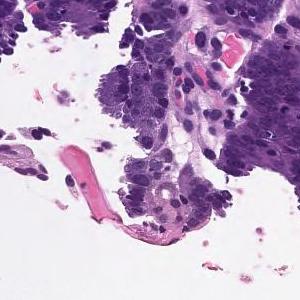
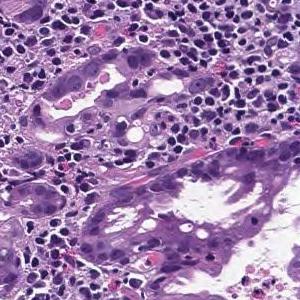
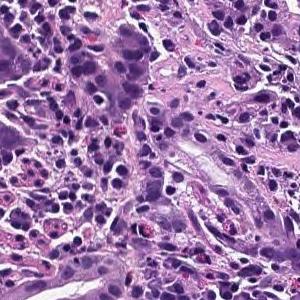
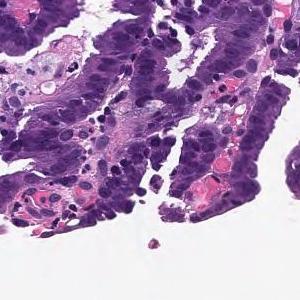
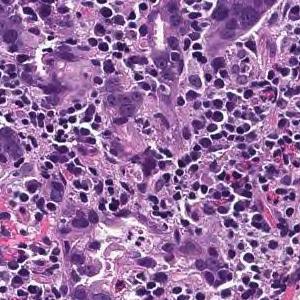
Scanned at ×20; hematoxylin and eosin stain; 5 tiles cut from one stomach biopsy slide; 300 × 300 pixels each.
Pathology report for the slide these tiles were cut from. Both the report and the diagnosis are for the whole slide: these tiles need not show every feature named, and some of the tissue shown may not be tumor.
In the superficial epithelium, tumor tissue that invades by forming medium-sized to small, irregular ducts is observed. moderately differentiated tubular adenocarcinoma.
